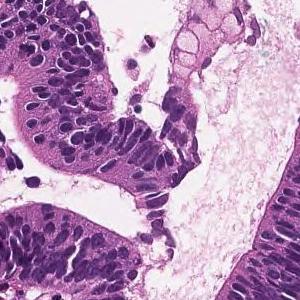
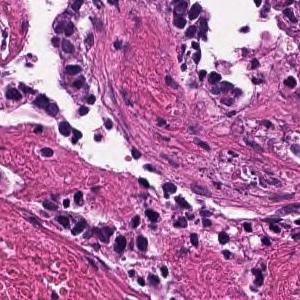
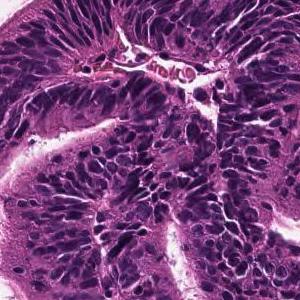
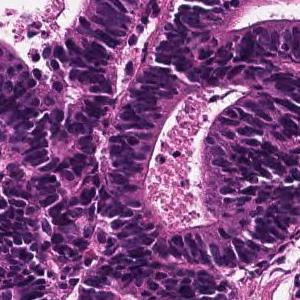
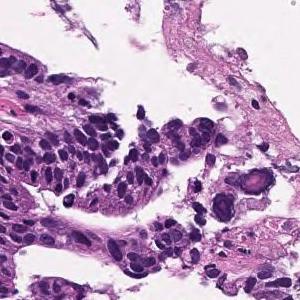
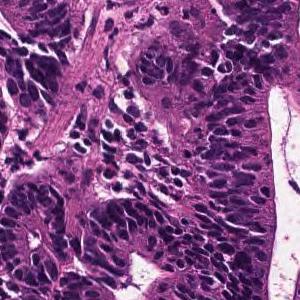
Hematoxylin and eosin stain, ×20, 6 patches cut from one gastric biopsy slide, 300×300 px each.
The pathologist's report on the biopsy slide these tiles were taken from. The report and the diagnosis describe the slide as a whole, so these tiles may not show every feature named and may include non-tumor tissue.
In the superficial epithelium, tumor tissue that invades by forming medium-sized to small, irregular ducts is observed. Well differentiated tubular adenocarcinoma.
